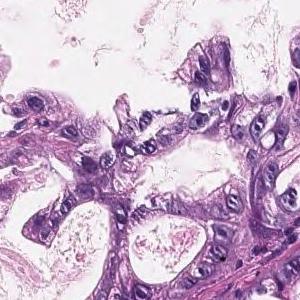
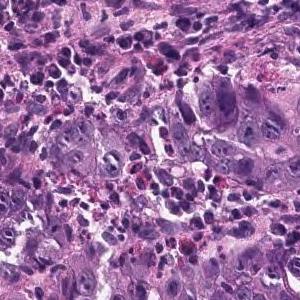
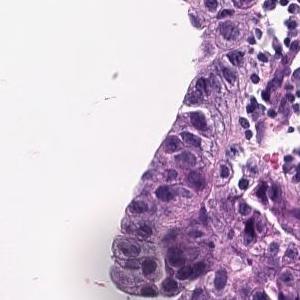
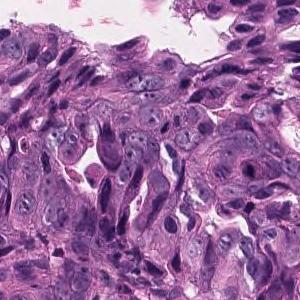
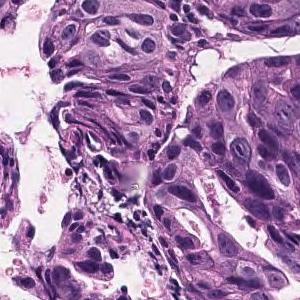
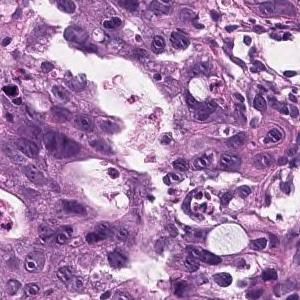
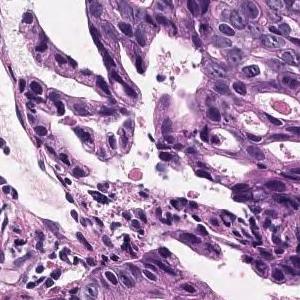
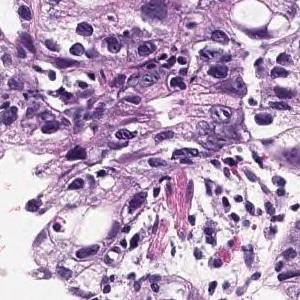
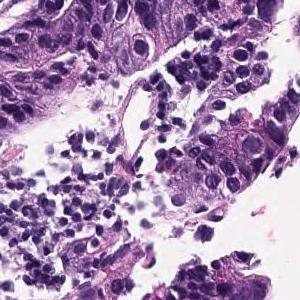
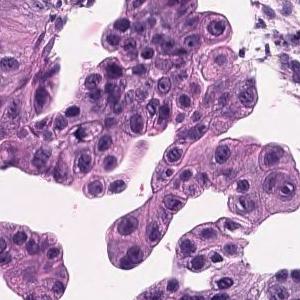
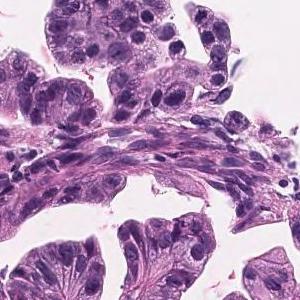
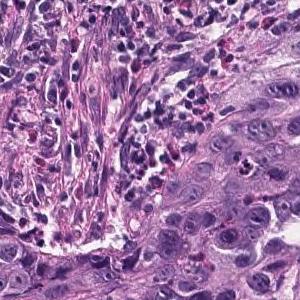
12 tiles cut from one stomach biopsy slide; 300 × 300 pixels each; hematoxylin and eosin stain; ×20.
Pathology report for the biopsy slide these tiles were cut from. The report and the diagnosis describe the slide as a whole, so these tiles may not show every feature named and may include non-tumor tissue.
Tumor cells are large, highly columnar, large club-shaped nuclei, and are associated with chromatin aggregation. Papillary adenocarcinoma.
